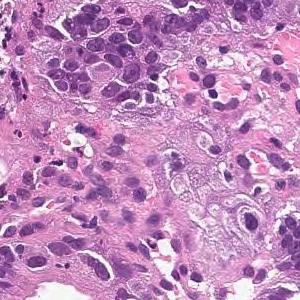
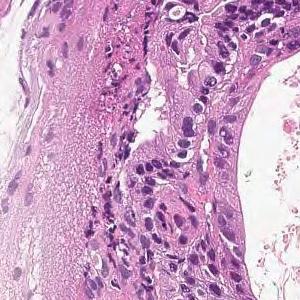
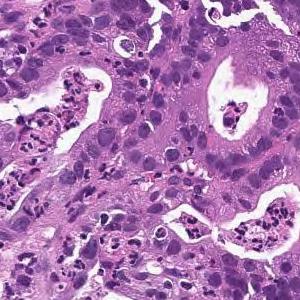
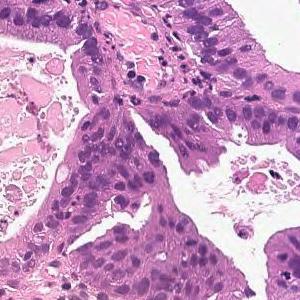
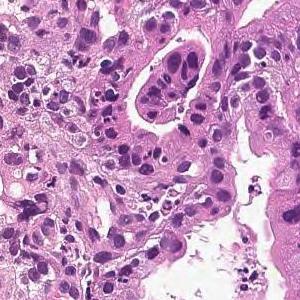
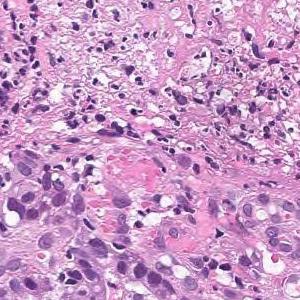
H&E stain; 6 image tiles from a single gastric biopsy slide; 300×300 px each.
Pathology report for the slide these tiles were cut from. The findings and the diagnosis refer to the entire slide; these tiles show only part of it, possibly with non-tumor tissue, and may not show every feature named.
From the superficial epithelium to the muscularis mucosae, tumor tissue consisting of medium-sized and irregular glandular ducts infiltrating is observed. Well differentiated tubular adenocarcinoma
